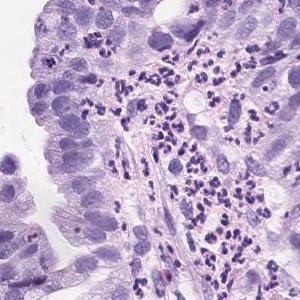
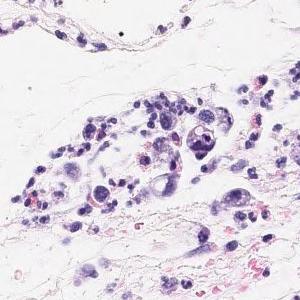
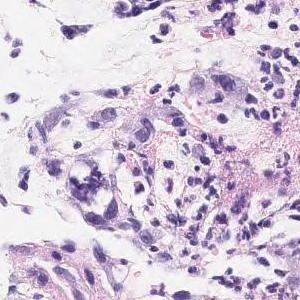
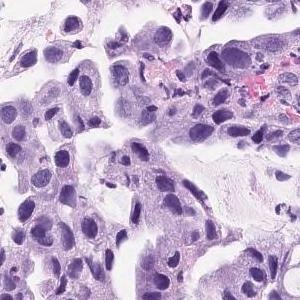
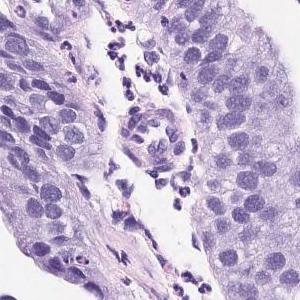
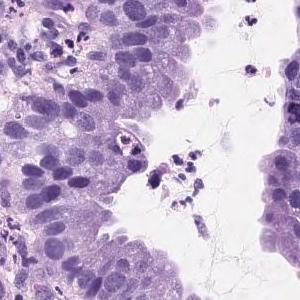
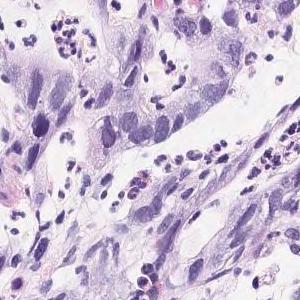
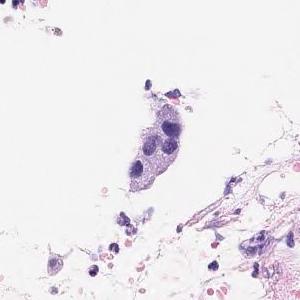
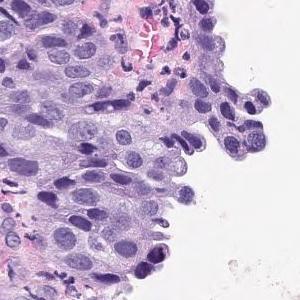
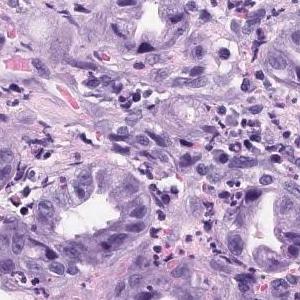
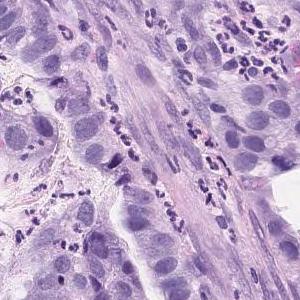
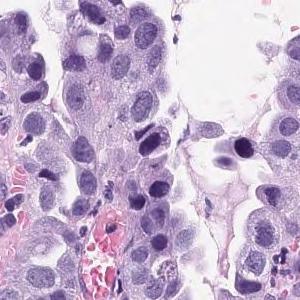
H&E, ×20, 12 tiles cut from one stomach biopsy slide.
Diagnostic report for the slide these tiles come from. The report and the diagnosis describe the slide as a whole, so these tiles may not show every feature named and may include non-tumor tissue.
Atypical l cells with atypical nuclei forming solid or diffuse vesicles or small irregular atypical ducts and growing in a complex manner. Well differentiated tubular adenocarcinoma
